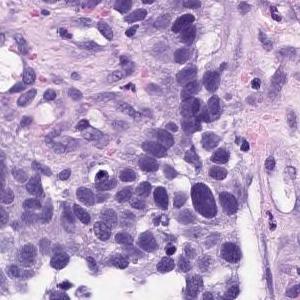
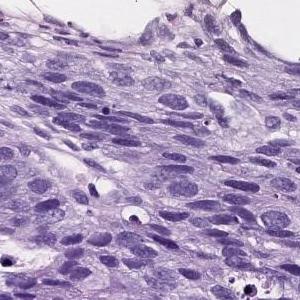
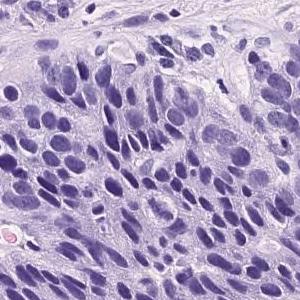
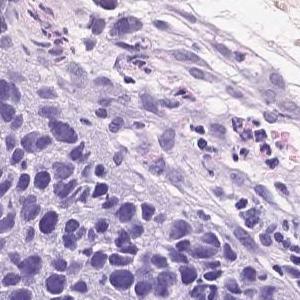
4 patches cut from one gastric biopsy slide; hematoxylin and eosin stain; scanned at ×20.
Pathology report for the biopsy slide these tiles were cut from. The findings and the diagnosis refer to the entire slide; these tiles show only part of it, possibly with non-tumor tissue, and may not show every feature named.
Atypical cells with atypical nuclei forming small irregular atypical ducts and growing in a conformative manner. moderately differentiated tubular adenocarcinoma
The dataset labels this slide moderately to poorly differentiated adenocarcinoma.
